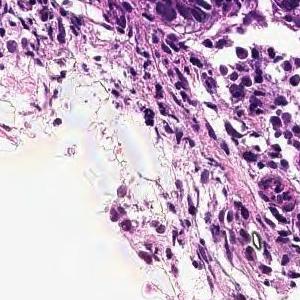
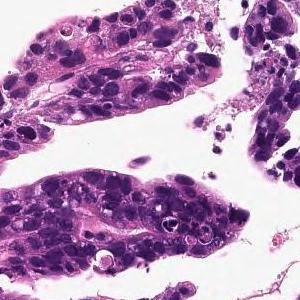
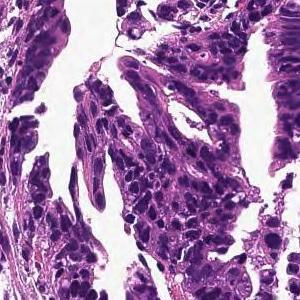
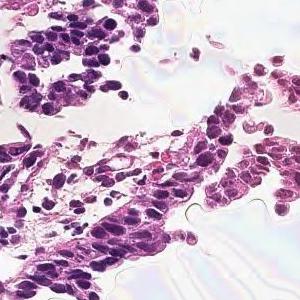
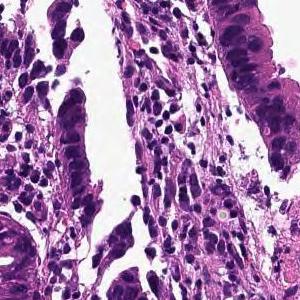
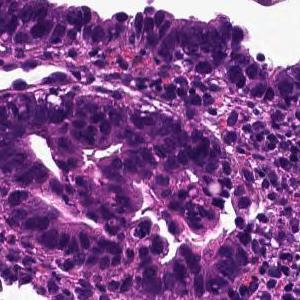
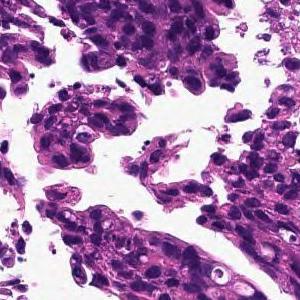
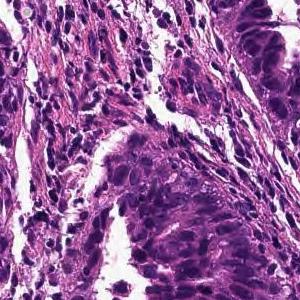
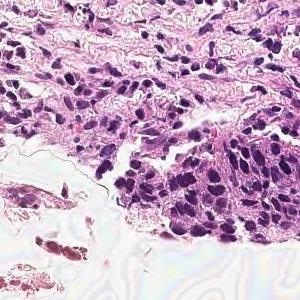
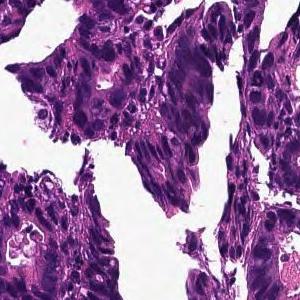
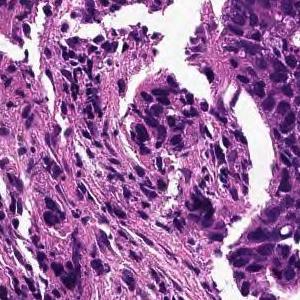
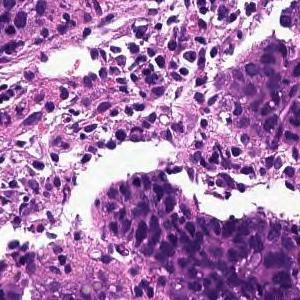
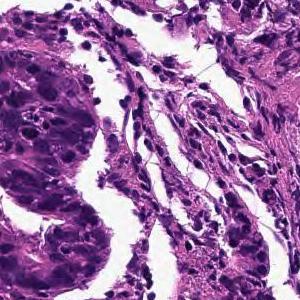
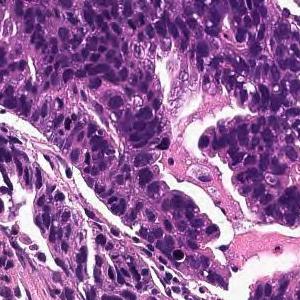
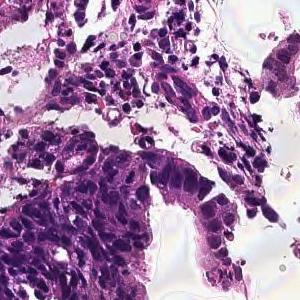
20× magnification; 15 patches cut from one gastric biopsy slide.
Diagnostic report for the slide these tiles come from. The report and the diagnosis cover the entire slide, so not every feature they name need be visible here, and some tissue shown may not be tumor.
In the superficial epithelium, tumor tissue that invades by forming medium-sized to small, irregular ducts is observed. moderately differentiated tubular adenocarcinoma.
